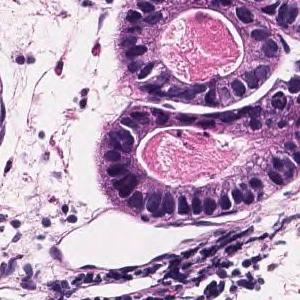
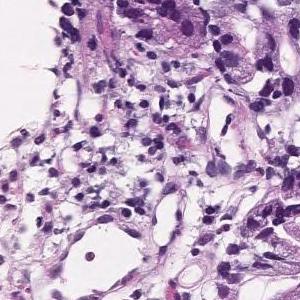
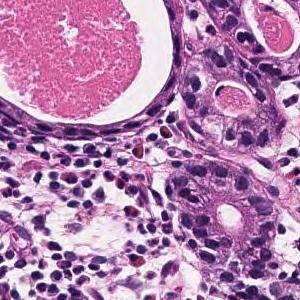
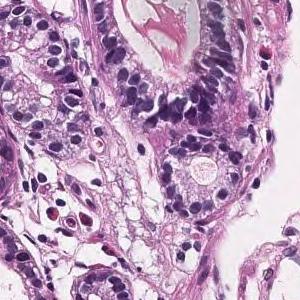
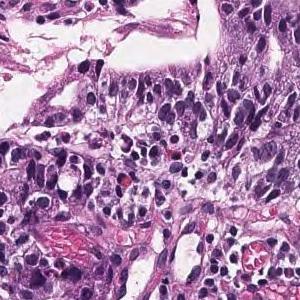
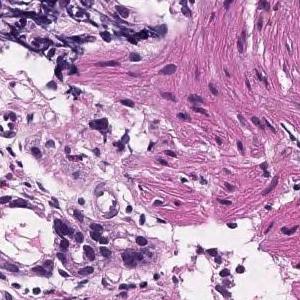
6 tiles cut from one stomach biopsy slide, 300×300 px each.
Pathology report for the biopsy slide these tiles were cut from. The report and the diagnosis cover the entire slide, so not every feature they name need be visible here, and some tissue shown may not be tumor.
Tumor tissue consisting of medium-sized and irregular ducts is observed infiltrating in the superficial epithelium. Tumor cells are highly columnar, with nuclei aligned basolaterally and polarized. Well differentiated tubular adenocarcinoma.
